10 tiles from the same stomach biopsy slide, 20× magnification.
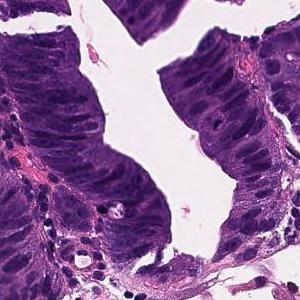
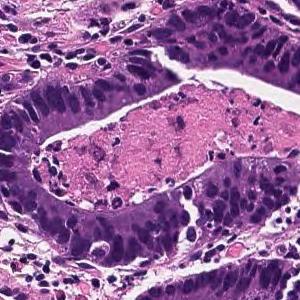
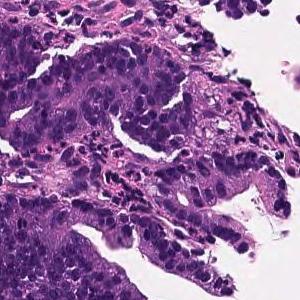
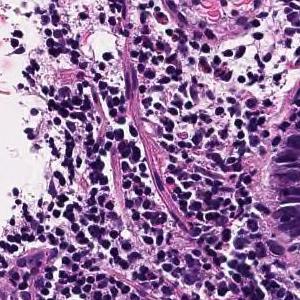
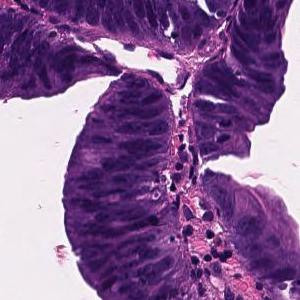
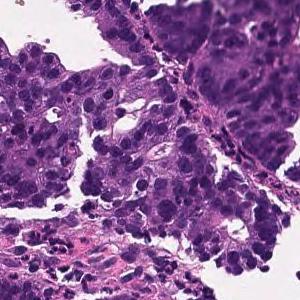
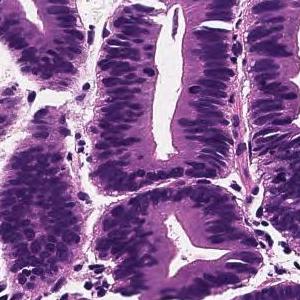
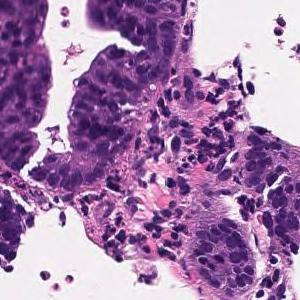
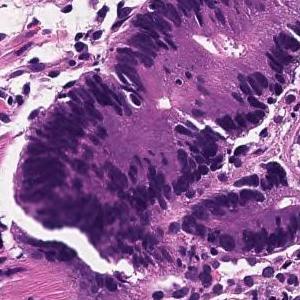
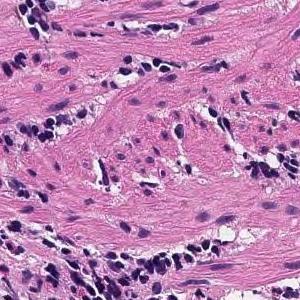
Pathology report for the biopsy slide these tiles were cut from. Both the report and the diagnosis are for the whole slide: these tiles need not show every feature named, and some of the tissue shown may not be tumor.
Tumor tissue consisting of large papillary structures is found in the superficial epithelium. Papillary adenocarcinoma.
